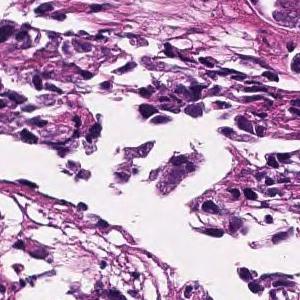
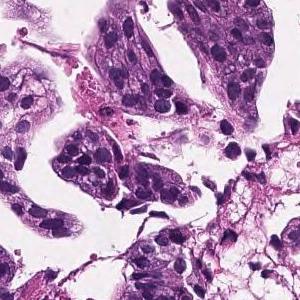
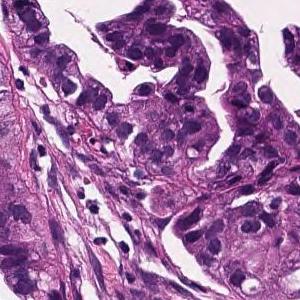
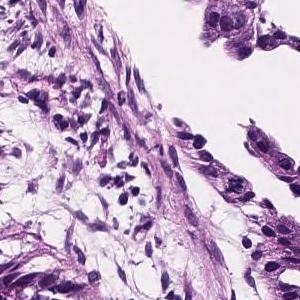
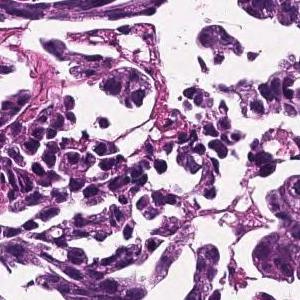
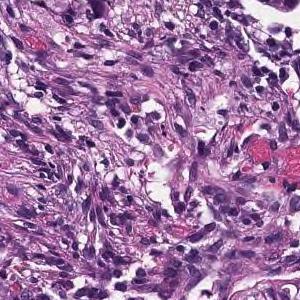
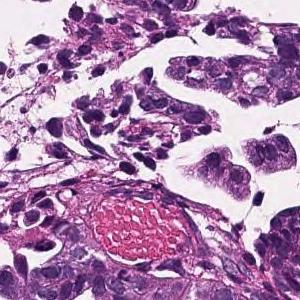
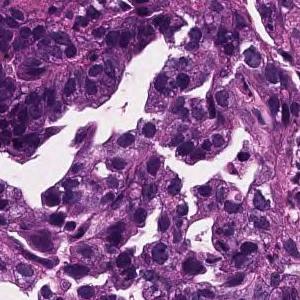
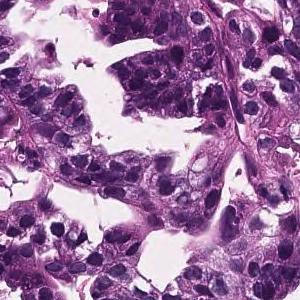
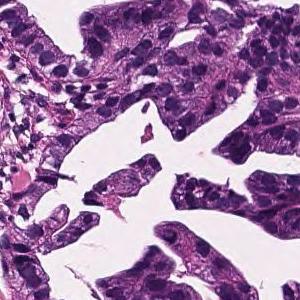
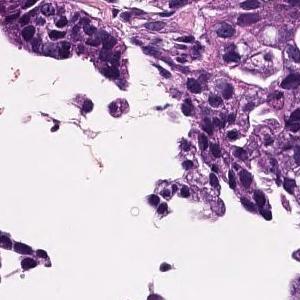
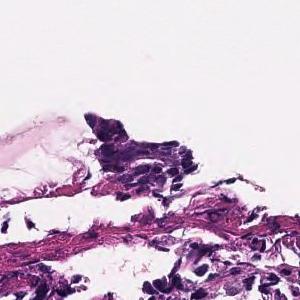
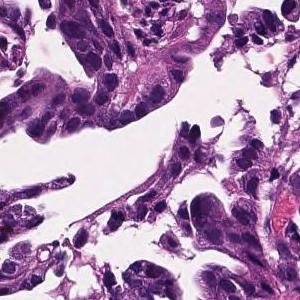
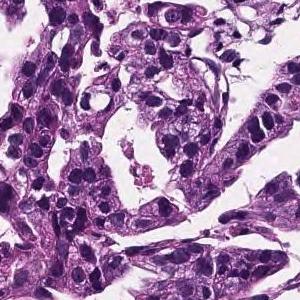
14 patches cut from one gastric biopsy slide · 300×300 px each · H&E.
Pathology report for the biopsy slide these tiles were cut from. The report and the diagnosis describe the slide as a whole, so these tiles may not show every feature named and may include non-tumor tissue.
In the lamina propria, tumor tissue that invades by forming medium-sized to small, irregular glandular ducts is observed. moderately differentiated tubular adenocarcinoma
